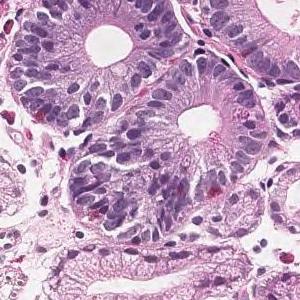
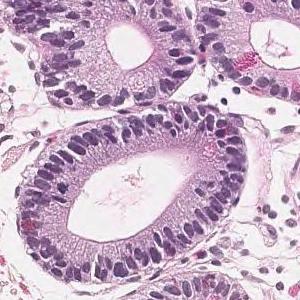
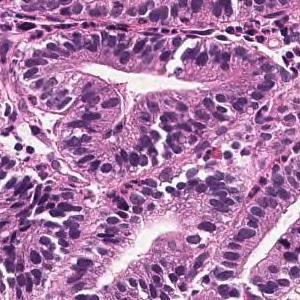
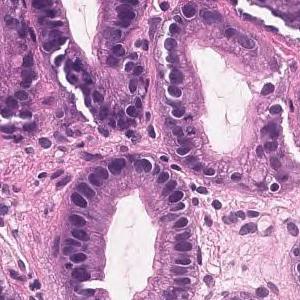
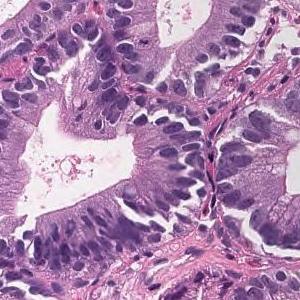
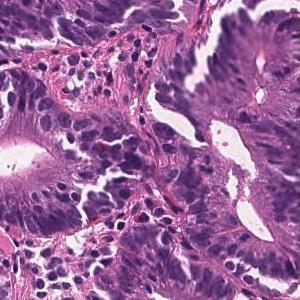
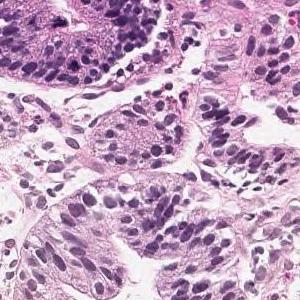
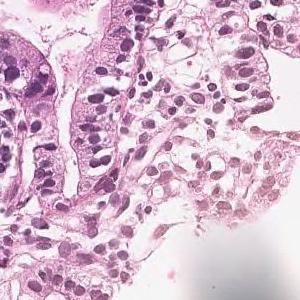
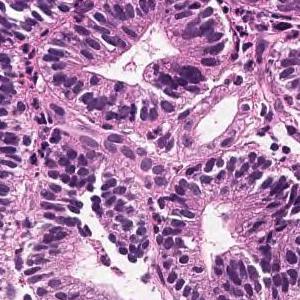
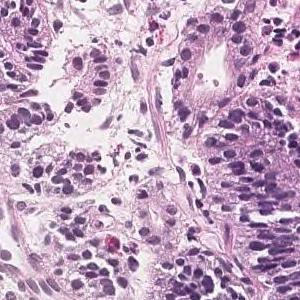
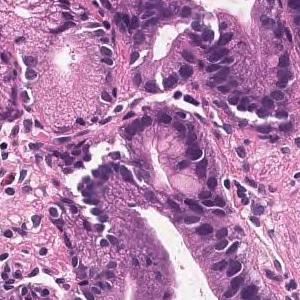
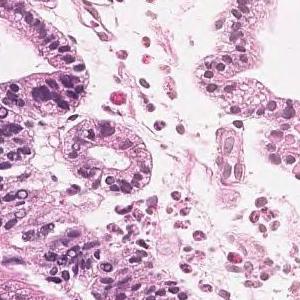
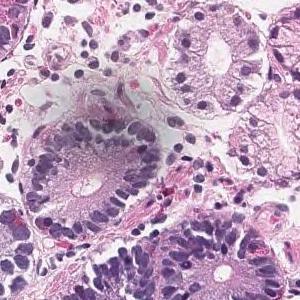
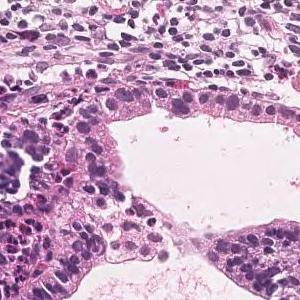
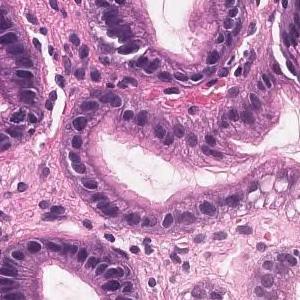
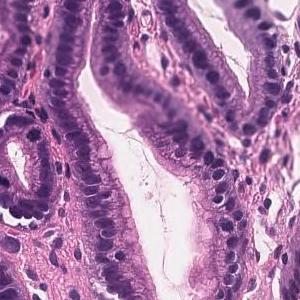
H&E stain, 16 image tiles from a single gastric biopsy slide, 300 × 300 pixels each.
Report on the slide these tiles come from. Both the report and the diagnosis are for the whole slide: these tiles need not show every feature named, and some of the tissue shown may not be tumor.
Tumor tissue in which medium to small irregular ducts infiltrate and proliferate in the submucosa can be seen in the epithelium. Well differentiated tubular adenocarcinoma
